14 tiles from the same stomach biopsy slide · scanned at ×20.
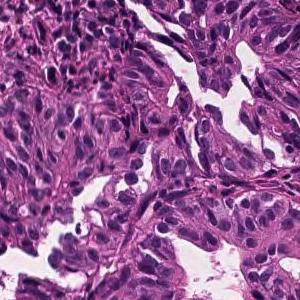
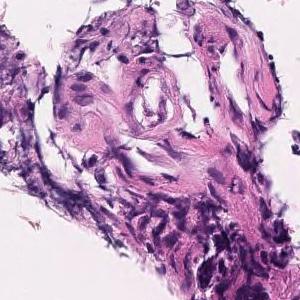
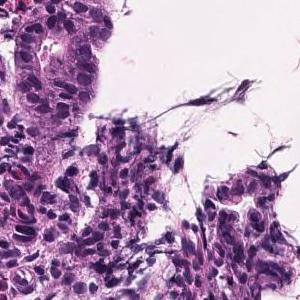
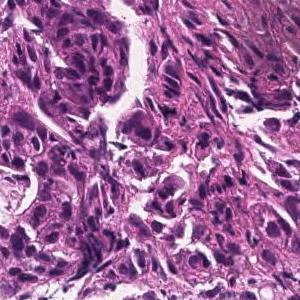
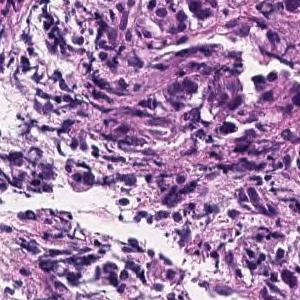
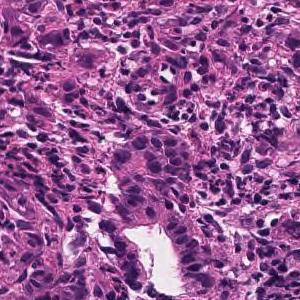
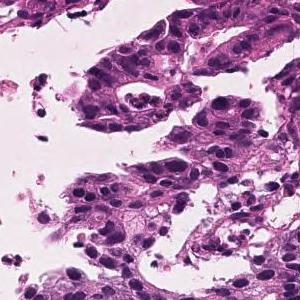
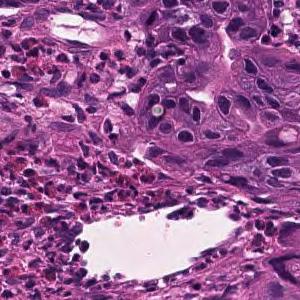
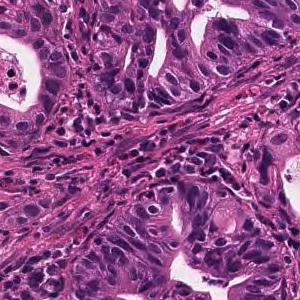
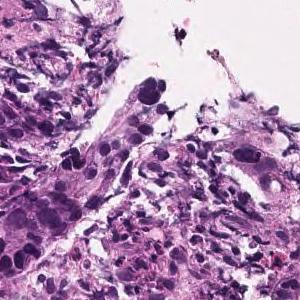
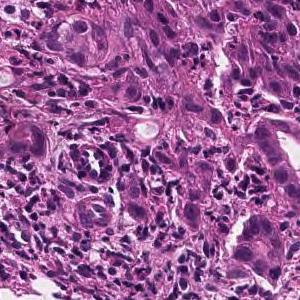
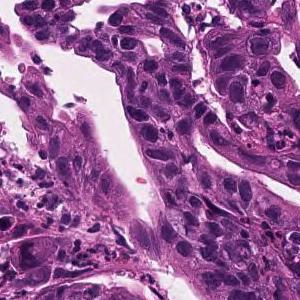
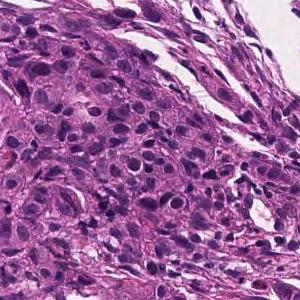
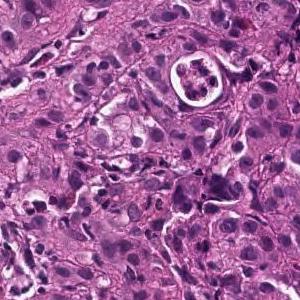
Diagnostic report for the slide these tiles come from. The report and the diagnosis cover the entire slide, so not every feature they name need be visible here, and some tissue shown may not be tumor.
Tumor tissue consisting of medium-sized, cord-like or irregular glandular infiltration is observed in the superficial epithelium. Poorly differentiated adenocarcinoma, non-solid type or moderately differentiated tubular adenocarcinoma
"Non-solid type" is a category of the Japanese Classification of Gastric Carcinoma.
